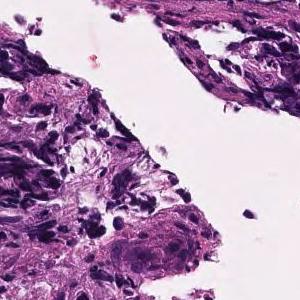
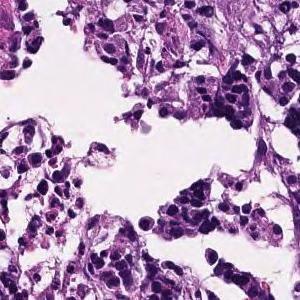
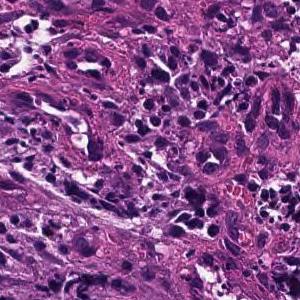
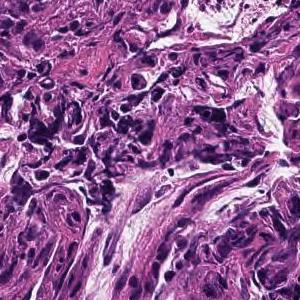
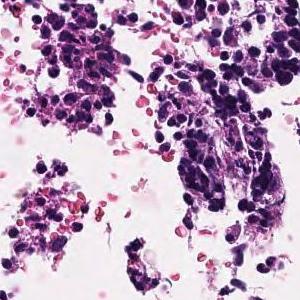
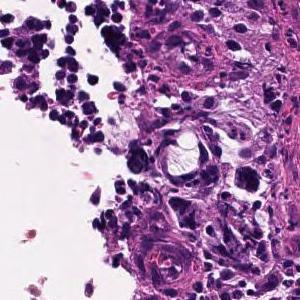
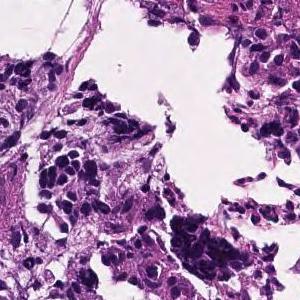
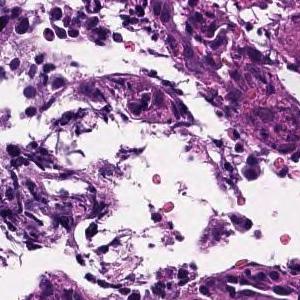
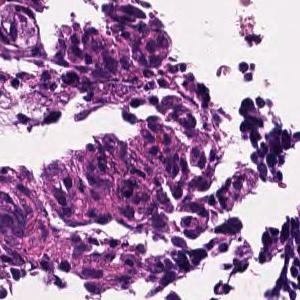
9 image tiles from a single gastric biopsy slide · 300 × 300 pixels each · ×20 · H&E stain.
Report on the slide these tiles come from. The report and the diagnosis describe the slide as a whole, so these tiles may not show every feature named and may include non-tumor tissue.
The superficial epithelium shows a large sheet-like shape, and some tumor tissue infiltrates with small irregular ducts. Poorly differentiated adenocarcinoma, solid-type
Histological subtype: Poorly differentiated adenocarcinoma, solid type. This name comes from the Japanese Classification of Gastric Carcinoma; the WHO 2019 classification calls it tubular adenocarcinoma, poorly differentiated.
